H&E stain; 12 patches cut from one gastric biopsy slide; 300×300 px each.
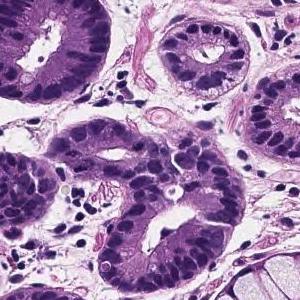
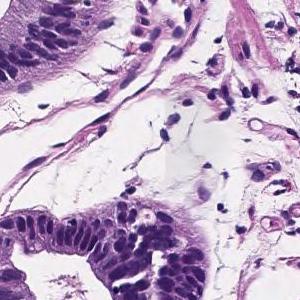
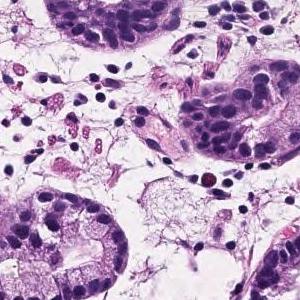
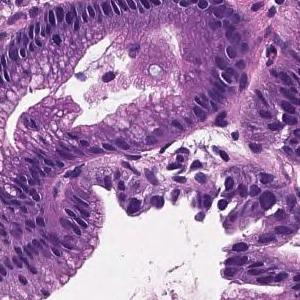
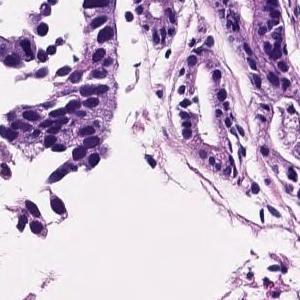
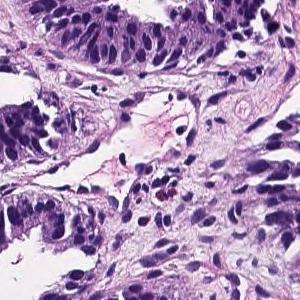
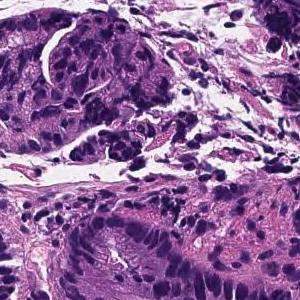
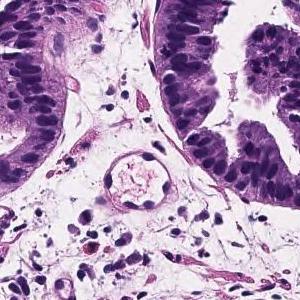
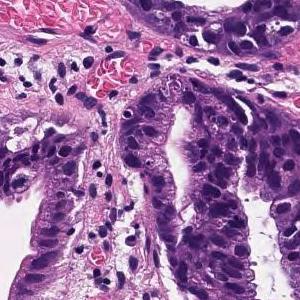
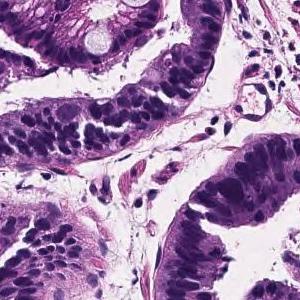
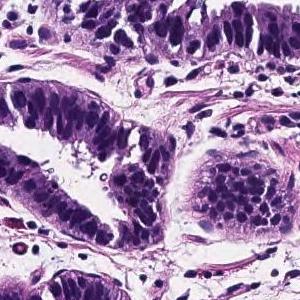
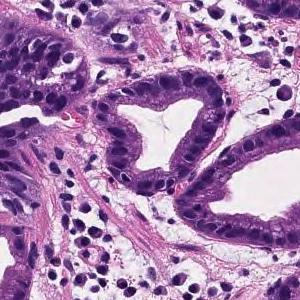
Diagnostic report for the slide these tiles come from. The findings and the diagnosis refer to the entire slide; these tiles show only part of it, possibly with non-tumor tissue, and may not show every feature named.
Tumor cells are large, highly columnar, large club-shaped nuclei, and are associated with chromatin aggregation. Papillary adenocarcinoma.
